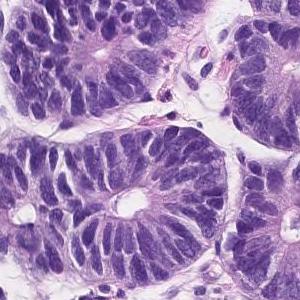
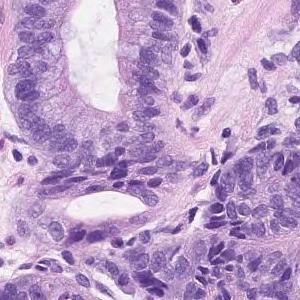
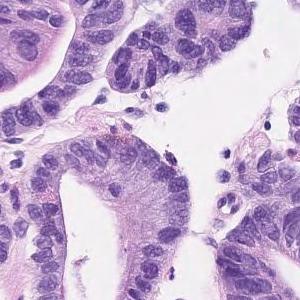
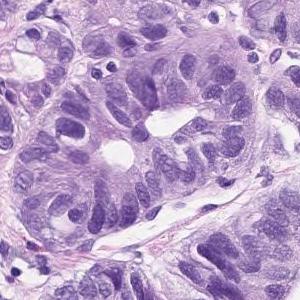
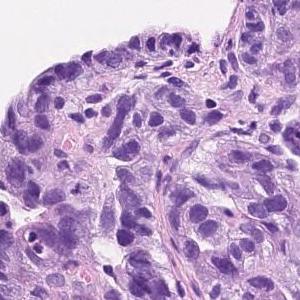
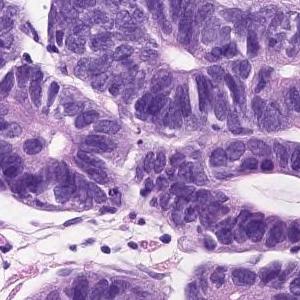
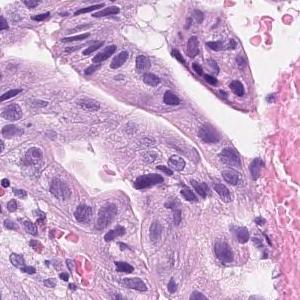
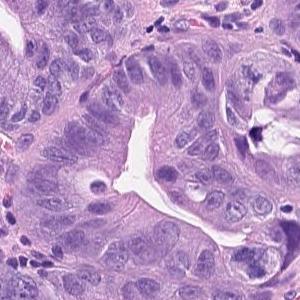
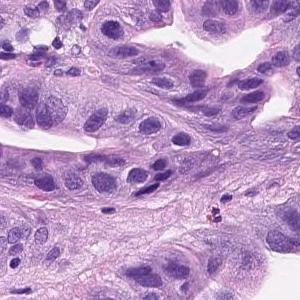
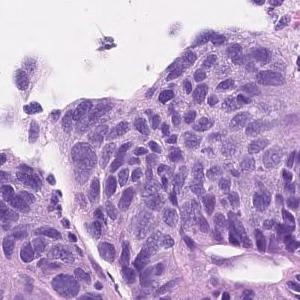
H&E; ×20; 10 image tiles from a single gastric biopsy slide; each 300 × 300 pixels.
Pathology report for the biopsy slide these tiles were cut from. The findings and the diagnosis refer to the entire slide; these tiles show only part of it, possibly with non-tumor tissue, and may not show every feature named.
Tumor tissue consisting of medium-sized and irregular ducts is observed infiltrating in the superficial epithelium. Tumor cells are highly columnar, with nuclei aligned basolaterally and polarized. Well differentiated tubular adenocarcinoma.
